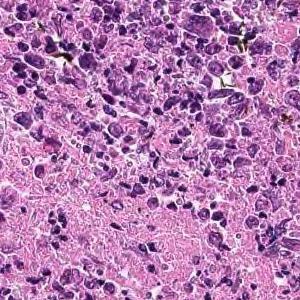
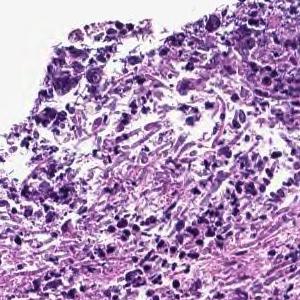
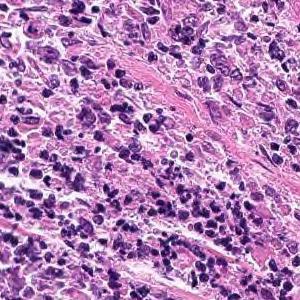
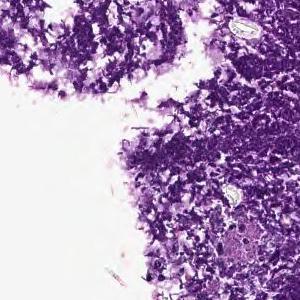
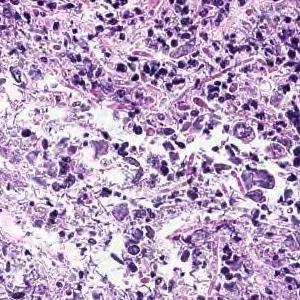
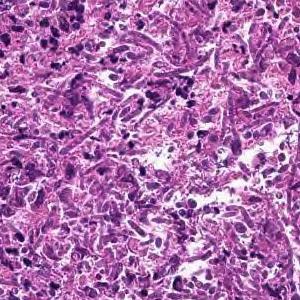
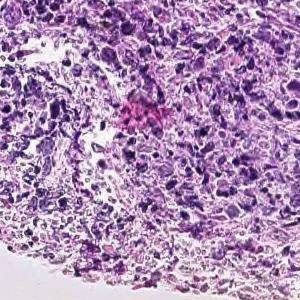
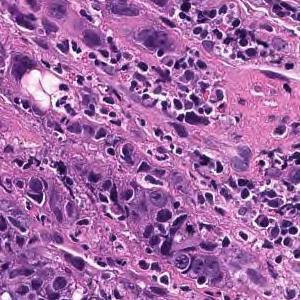
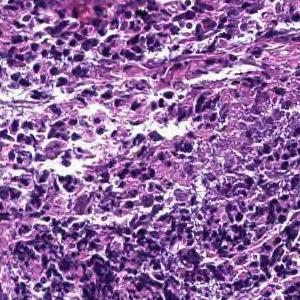
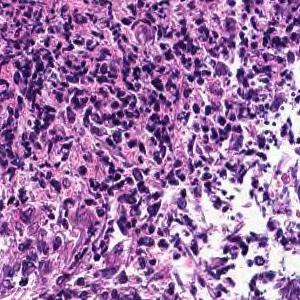
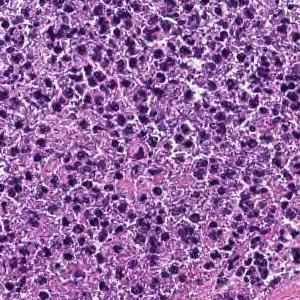
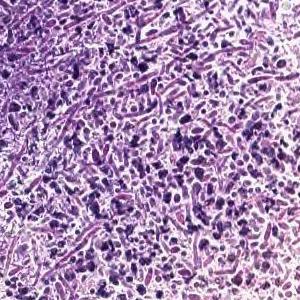
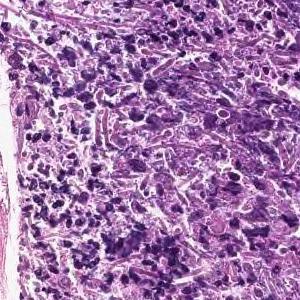
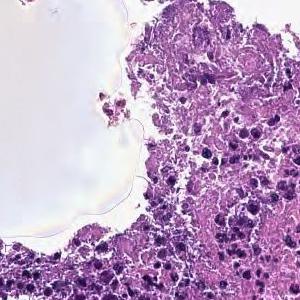
14 patches cut from one gastric biopsy slide; 300 × 300 pixels each; scanned at ×20.
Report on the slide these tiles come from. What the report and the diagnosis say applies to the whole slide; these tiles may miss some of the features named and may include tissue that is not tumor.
Cancers with polygonal nuclei do not show glandular formation and are densely, in part, cord-like and proliferate. Poorly differentiated adenocarcinoma
Histological subtype: Poorly differentiated adenocarcinoma, non-solid type.
The term "non-solid type" comes from the Japanese Classification of Gastric Carcinoma.
